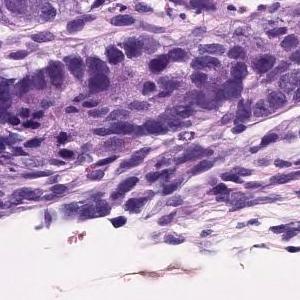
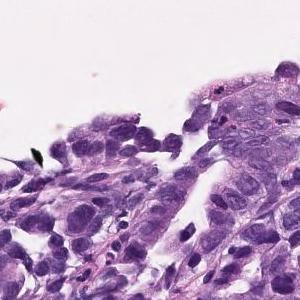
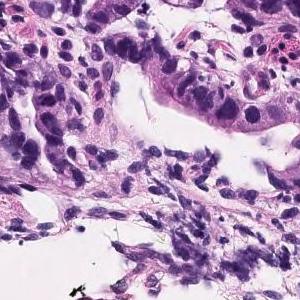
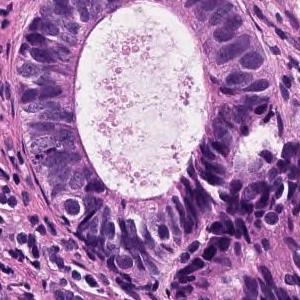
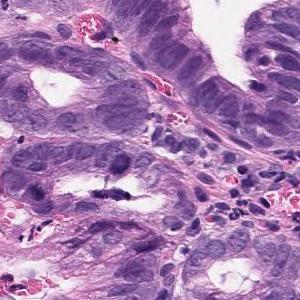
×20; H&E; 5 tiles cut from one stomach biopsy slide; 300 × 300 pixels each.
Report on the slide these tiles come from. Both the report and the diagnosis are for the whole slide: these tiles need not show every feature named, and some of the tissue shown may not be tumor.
The swollen atypical epithelium of the nucleus forms an irregular ductal structure and proliferates. moderately differentiated tubular adenocarcinoma
